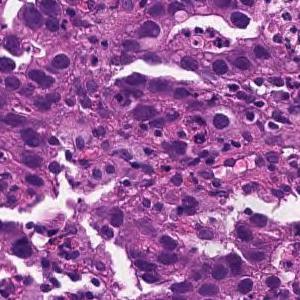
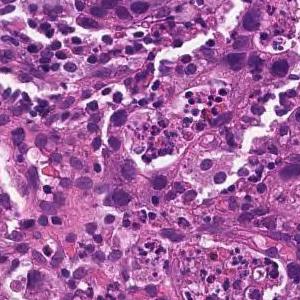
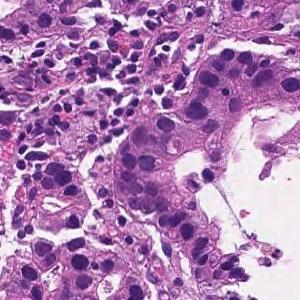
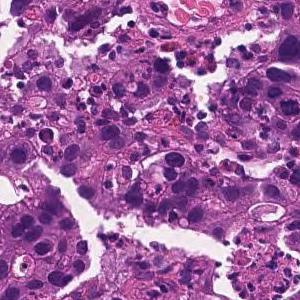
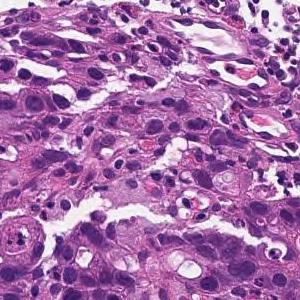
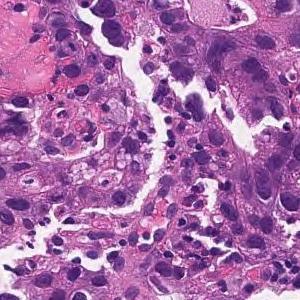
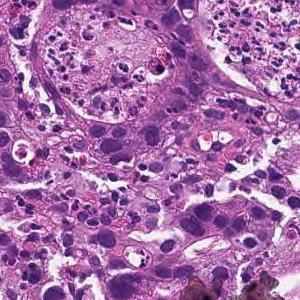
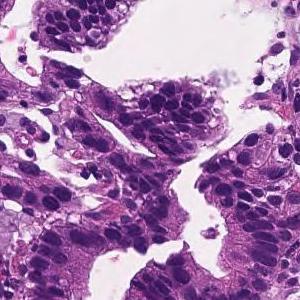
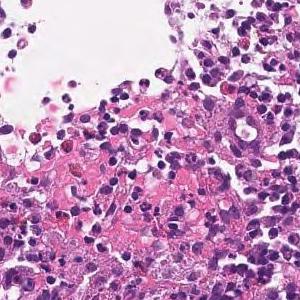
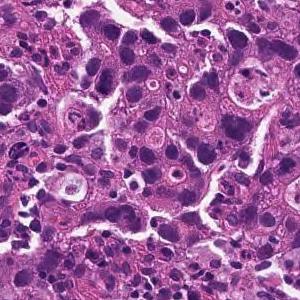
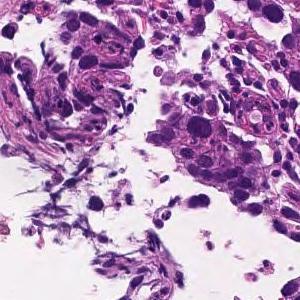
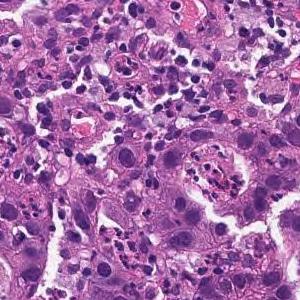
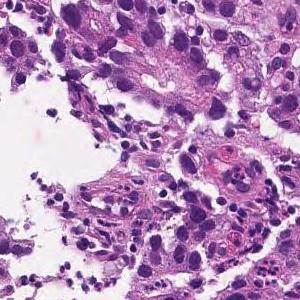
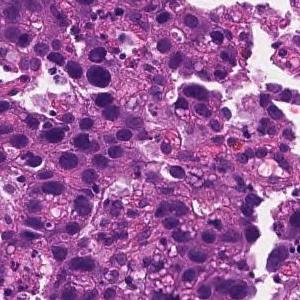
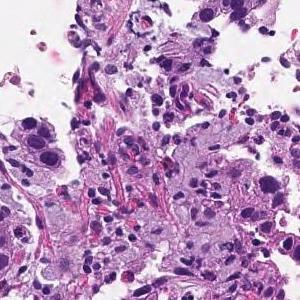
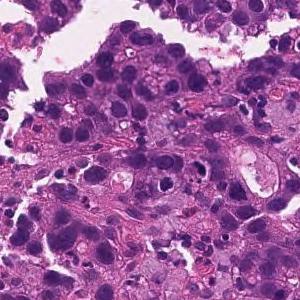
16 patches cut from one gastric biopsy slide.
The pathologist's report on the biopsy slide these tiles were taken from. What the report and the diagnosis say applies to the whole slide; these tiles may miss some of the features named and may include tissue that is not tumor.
Medium to small, irregular glandular ducts are formed in the superficial epithelium, and in some cases, the glandular ducts are fused to show solid alveolar lesions and infiltrating tumor tissue is observed. Moderately to poorly differentiated adenocarcinoma.
